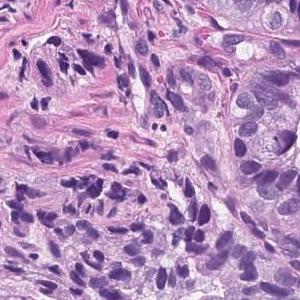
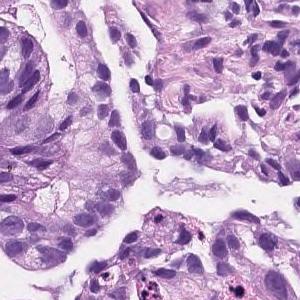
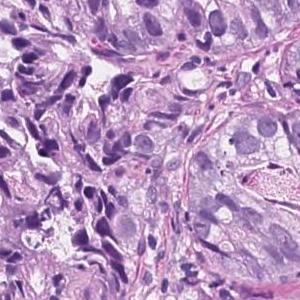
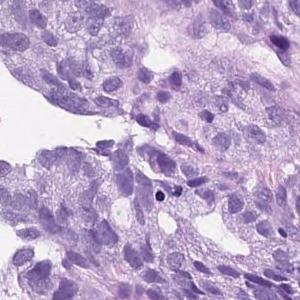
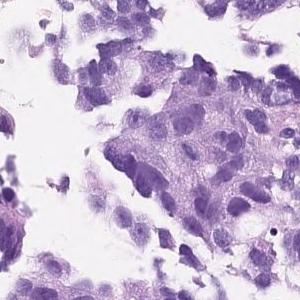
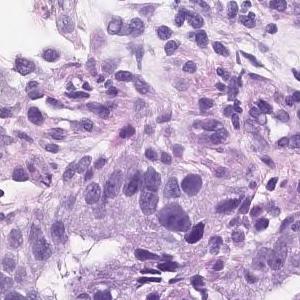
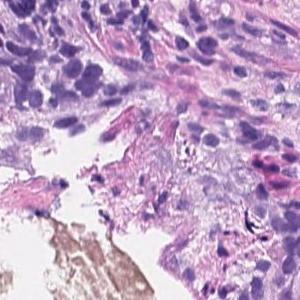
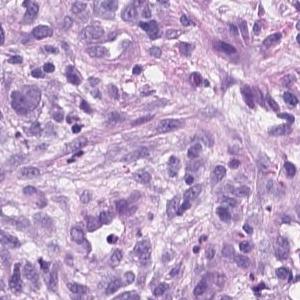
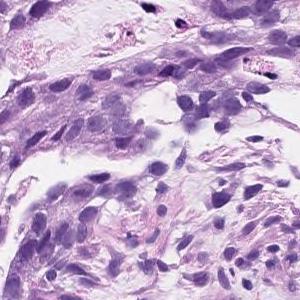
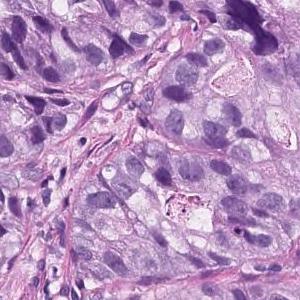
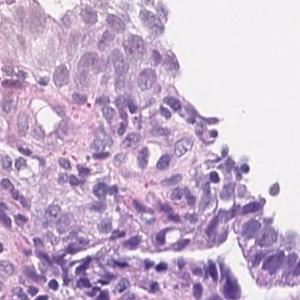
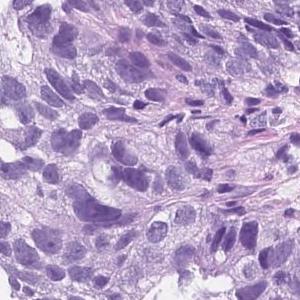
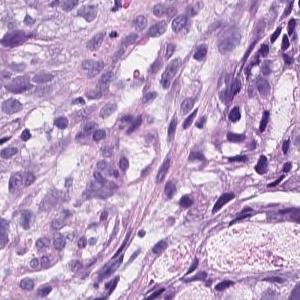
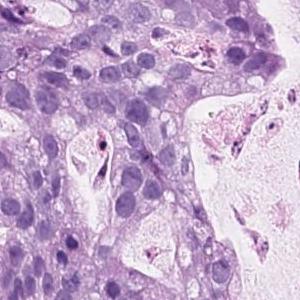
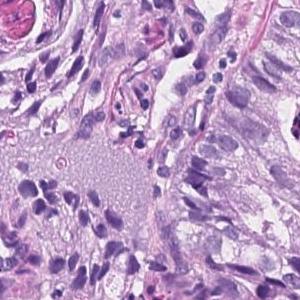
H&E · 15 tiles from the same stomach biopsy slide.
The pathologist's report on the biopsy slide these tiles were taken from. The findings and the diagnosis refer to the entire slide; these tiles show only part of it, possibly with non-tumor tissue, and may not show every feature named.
On the superficial epithelium, tumor tissue consisting of an image of large, irregular glandular ducts partially fused and infiltrated is observed. Well to moderately differentiated tubular adenocarcinoma
